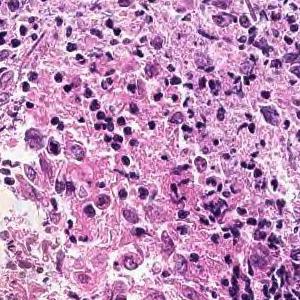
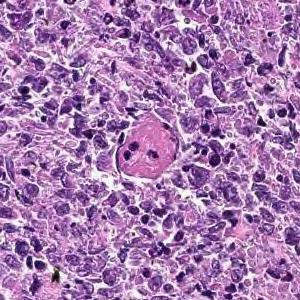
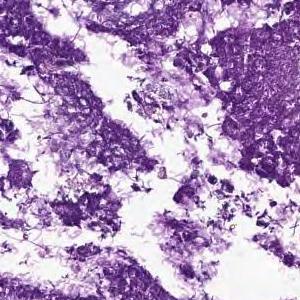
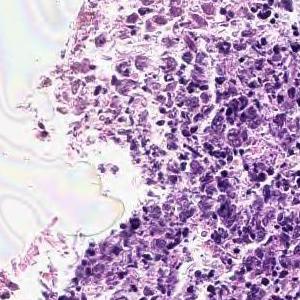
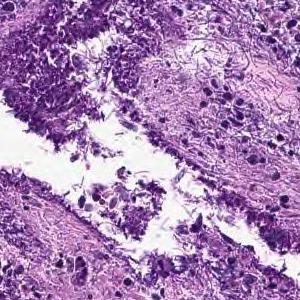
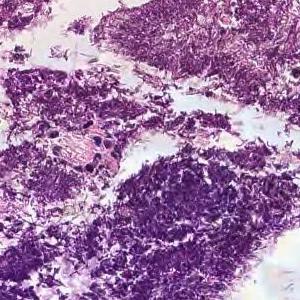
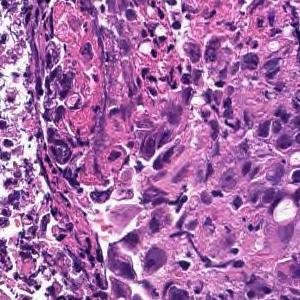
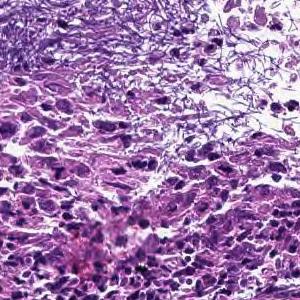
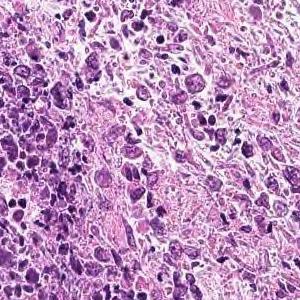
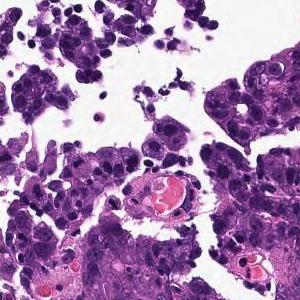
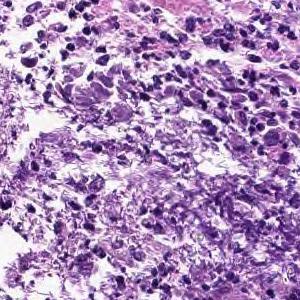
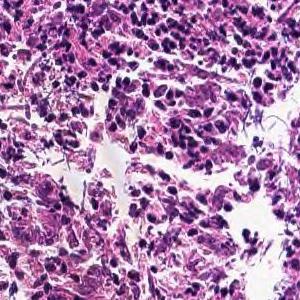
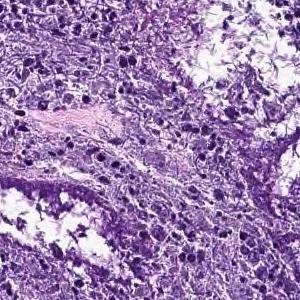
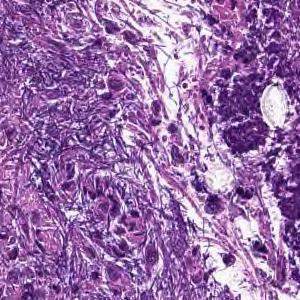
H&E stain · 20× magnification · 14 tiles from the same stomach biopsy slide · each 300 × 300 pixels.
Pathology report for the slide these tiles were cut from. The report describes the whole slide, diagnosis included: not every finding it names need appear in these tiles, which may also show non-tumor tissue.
Cancers with polygonal nuclei do not show glandular formation and are densely, in part, cord-like and proliferate. Poorly differentiated adenocarcinoma
Histologic type: Poorly differentiated adenocarcinoma, non-solid type.
The non-solid type named here is a Japanese Classification of Gastric Carcinoma category.
